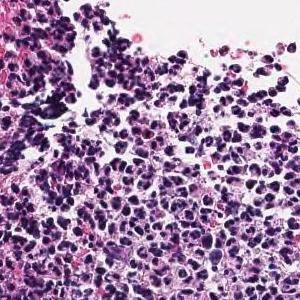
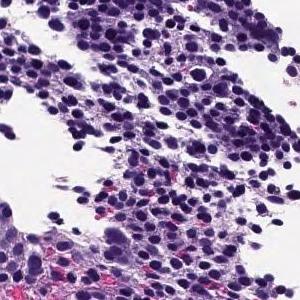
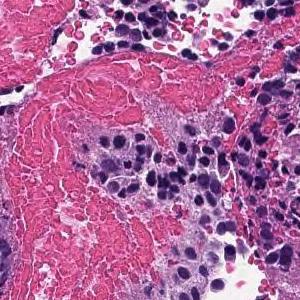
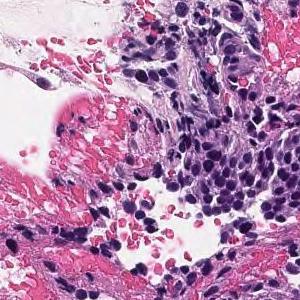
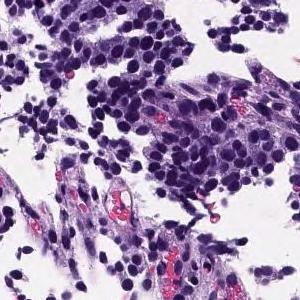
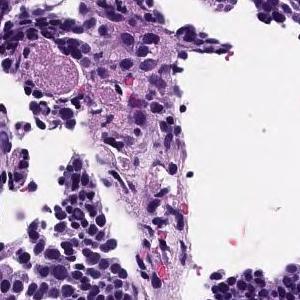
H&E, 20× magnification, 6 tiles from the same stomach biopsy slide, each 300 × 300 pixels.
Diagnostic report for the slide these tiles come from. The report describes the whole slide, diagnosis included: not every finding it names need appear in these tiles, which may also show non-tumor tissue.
The superficial epithelium shows a large sheet-like shape, and some tumor tissue infiltrates with small irregular ducts. Poorly differentiated adenocarcinoma, solid-type
Histological subtype: Poorly differentiated adenocarcinoma, solid type. This name comes from the Japanese Classification of Gastric Carcinoma; the WHO 2019 classification calls it tubular adenocarcinoma, poorly differentiated.
